13 image tiles from a single gastric biopsy slide; 300×300 px each; scanned at ×20; H&E.
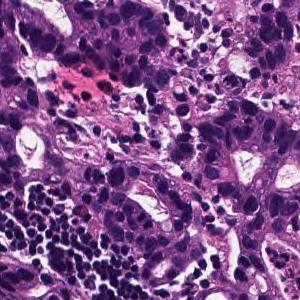
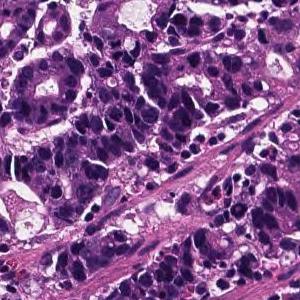
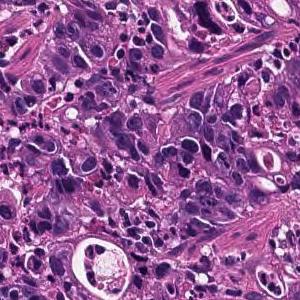
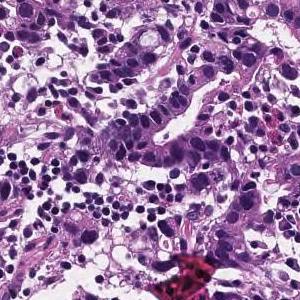
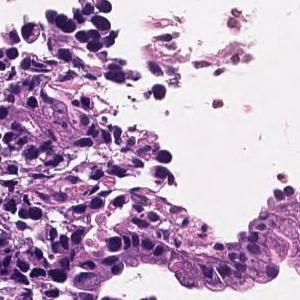
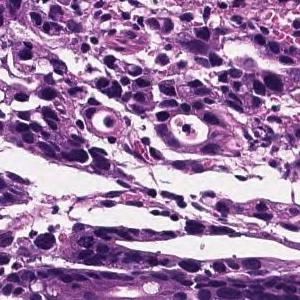
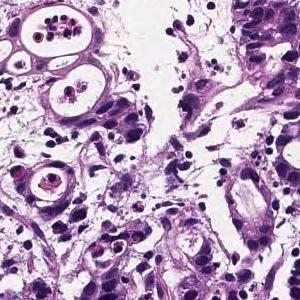
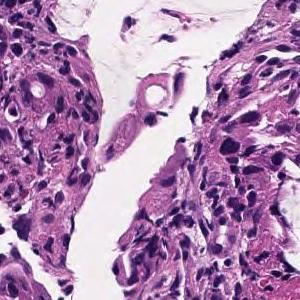
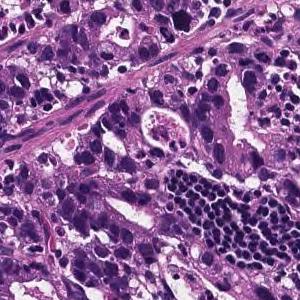
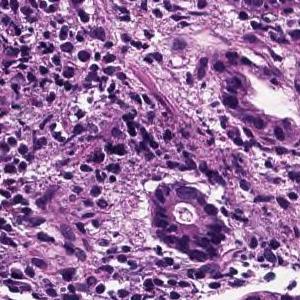
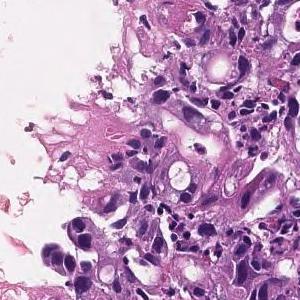
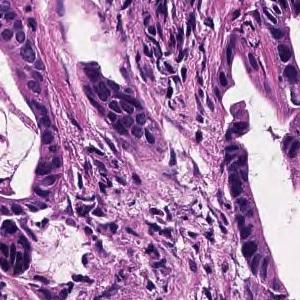
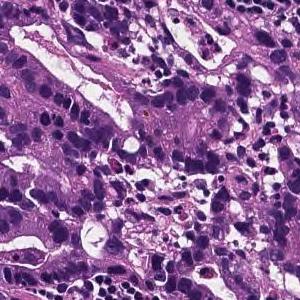
Pathology report for the slide these tiles were cut from. What the report and the diagnosis say applies to the whole slide; these tiles may miss some of the features named and may include tissue that is not tumor.
In the superficial epithelium, tumor tissue that invades by forming medium-sized to small, irregular ducts is observed. moderately differentiated tubular adenocarcinoma.
